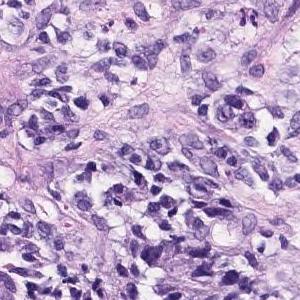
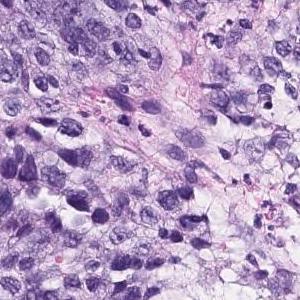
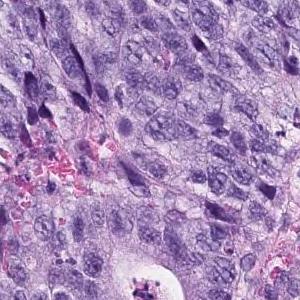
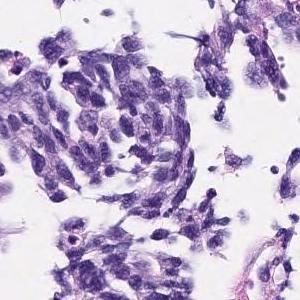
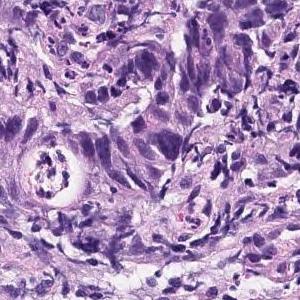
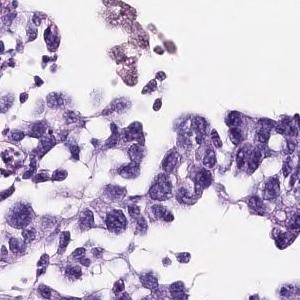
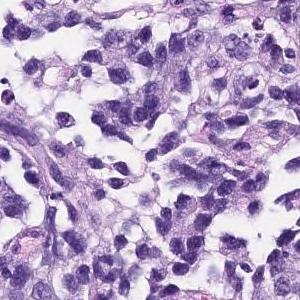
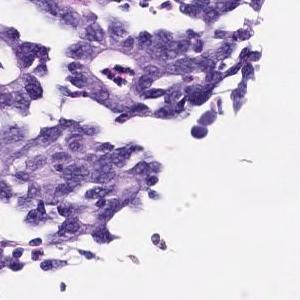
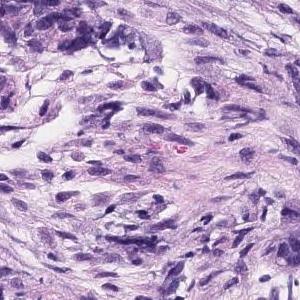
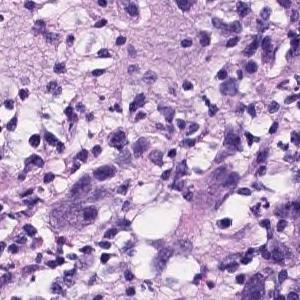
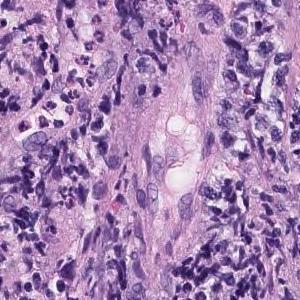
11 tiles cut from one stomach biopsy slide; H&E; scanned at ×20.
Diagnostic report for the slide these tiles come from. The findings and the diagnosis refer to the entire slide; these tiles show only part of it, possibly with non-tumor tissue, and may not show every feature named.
The superficial epithelium shows a large sheet-like shape, and some tumor tissue infiltrates with small irregular ducts. Poorly differentiated adenocarcinoma, solid-type
Tumor subtype: poorly differentiated adenocarcinoma, solid type, a category of the Japanese Classification of Gastric Carcinoma; in the WHO 2019 classification it is tubular adenocarcinoma, poorly differentiated.
